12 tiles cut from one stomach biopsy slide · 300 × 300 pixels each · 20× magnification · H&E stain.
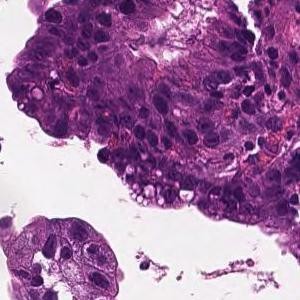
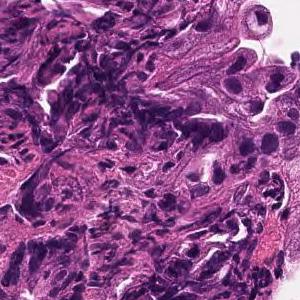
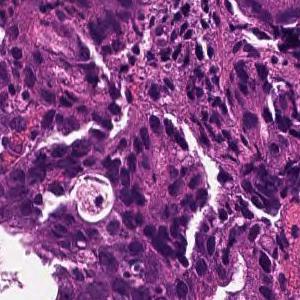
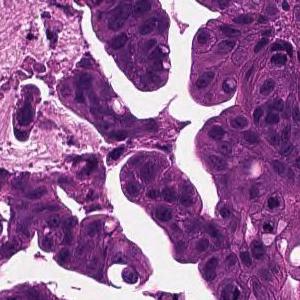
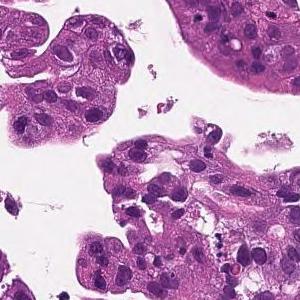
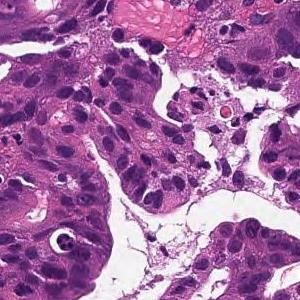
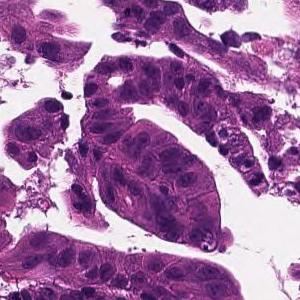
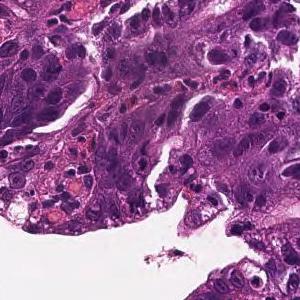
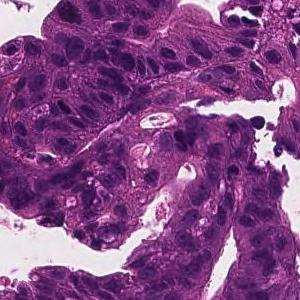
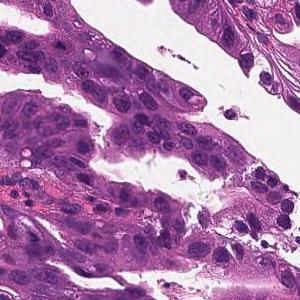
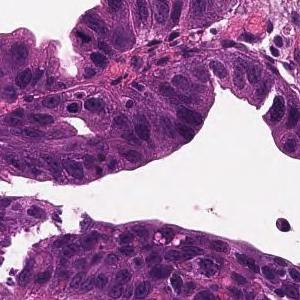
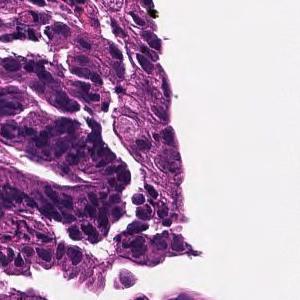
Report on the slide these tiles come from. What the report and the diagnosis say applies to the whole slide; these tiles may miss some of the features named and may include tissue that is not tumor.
On the superficial epithelium, tumor tissue is found in which medium-sized irregular gland ducts fuse with each other and infiltrate. moderately differentiated tubular adenocarcinoma
